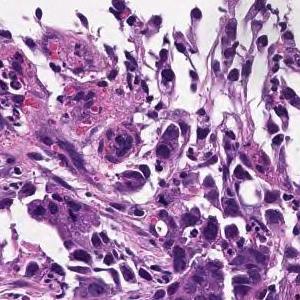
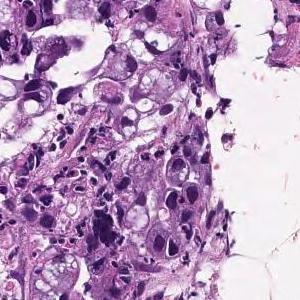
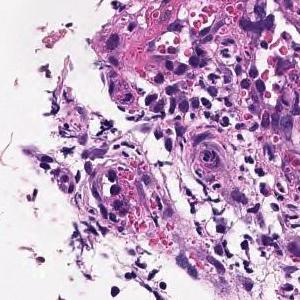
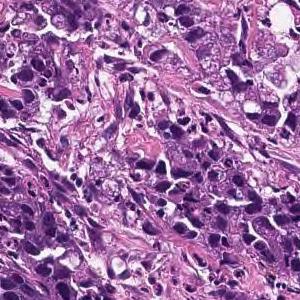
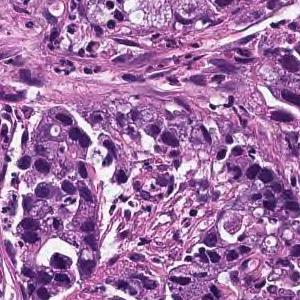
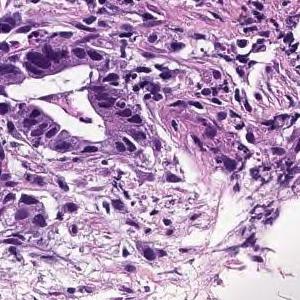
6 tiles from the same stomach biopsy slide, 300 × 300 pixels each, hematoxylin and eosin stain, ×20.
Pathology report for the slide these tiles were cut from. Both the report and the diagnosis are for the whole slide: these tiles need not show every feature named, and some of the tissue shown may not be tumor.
Medium to small, irregular glandular ducts are formed in the superficial epithelium, and in some cases, the glandular ducts are fused to show solid alveolar lesions and infiltrating tumor tissue is observed. Moderately to poorly differentiated adenocarcinoma.
